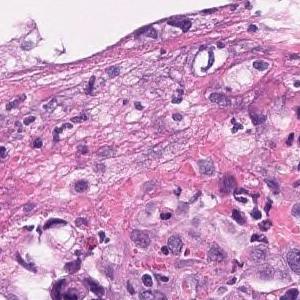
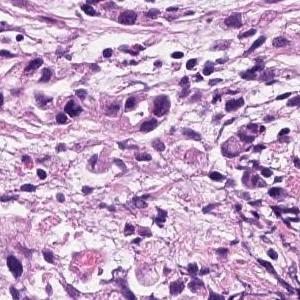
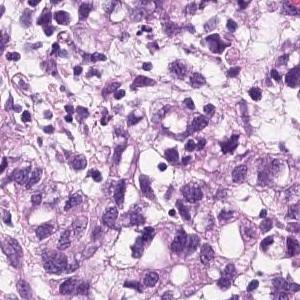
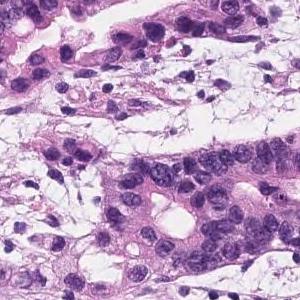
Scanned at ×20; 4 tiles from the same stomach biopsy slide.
Pathology report for the slide these tiles were cut from. Both the report and the diagnosis are for the whole slide: these tiles need not show every feature named, and some of the tissue shown may not be tumor.
Group 5, Adenocarcinoma. Poorly differentiated adenocarcinoma, non-solid type
"Non-solid type" is a category of the Japanese Classification of Gastric Carcinoma.
